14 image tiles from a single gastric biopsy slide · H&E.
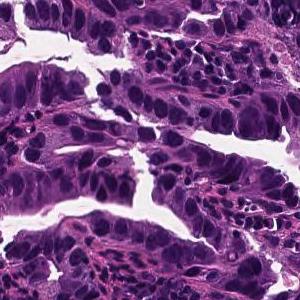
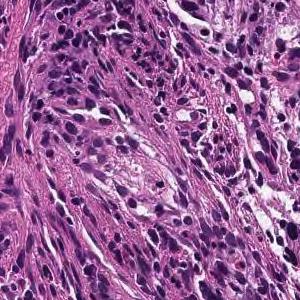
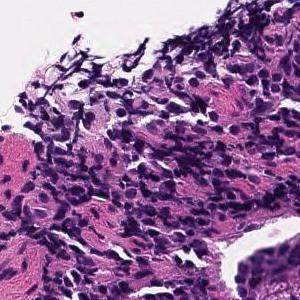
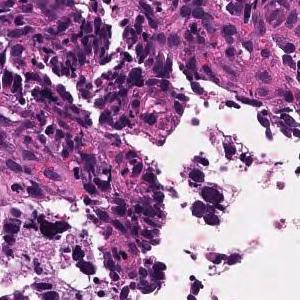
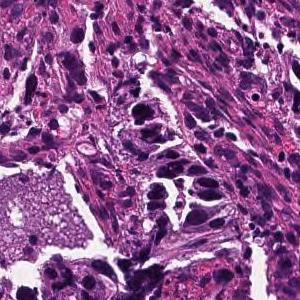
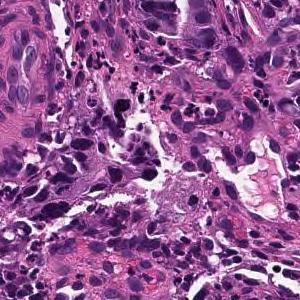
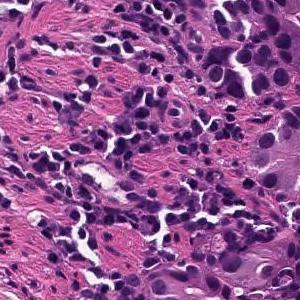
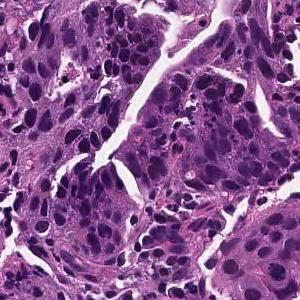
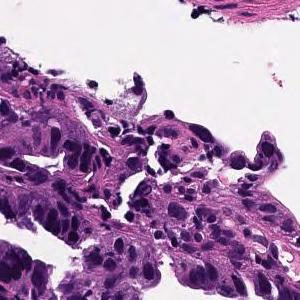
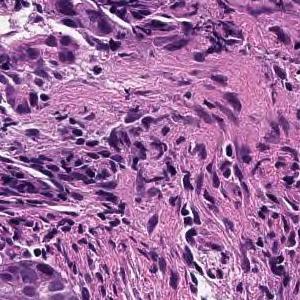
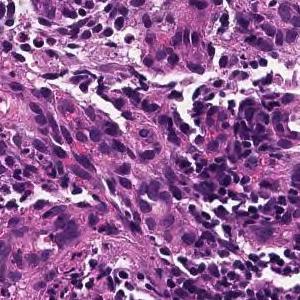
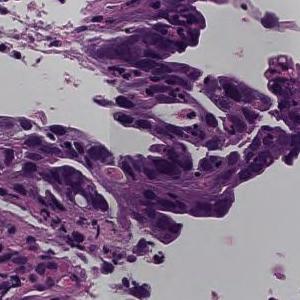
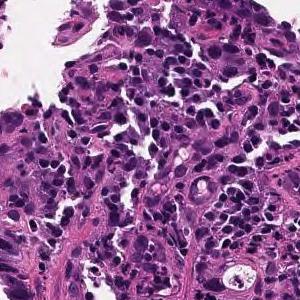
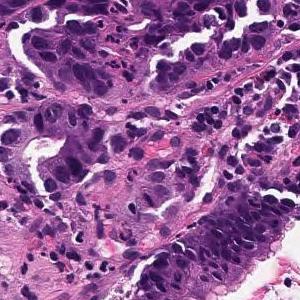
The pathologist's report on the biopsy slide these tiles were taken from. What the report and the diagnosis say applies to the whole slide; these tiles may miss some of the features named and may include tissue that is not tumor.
On the superficial epithelium, tumor tissue consisting of large irregular glandular ducts partially fused and infiltrated is observed. Well to moderately differentiated tubular adenocarcinoma (well differentiated tubular adenocarcinoma, moderately differentiated tubular adenocarcinoma)
Histological subtype: Well to moderately differentiated tubular adenocarcinoma.
